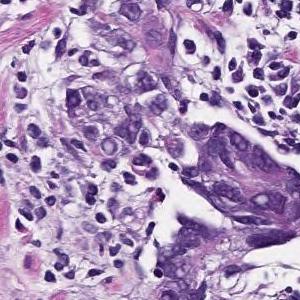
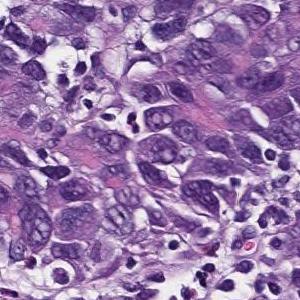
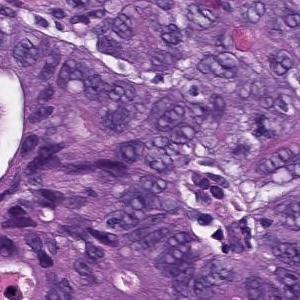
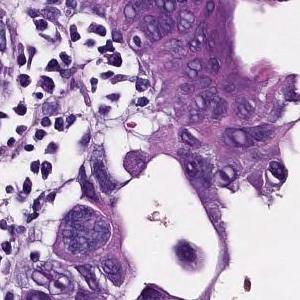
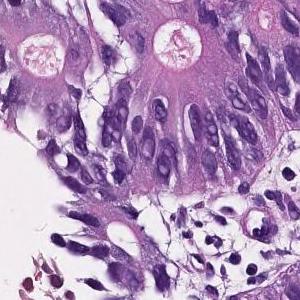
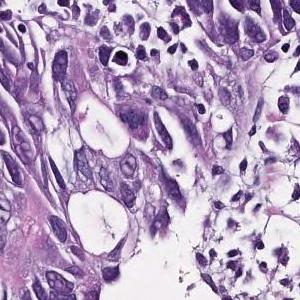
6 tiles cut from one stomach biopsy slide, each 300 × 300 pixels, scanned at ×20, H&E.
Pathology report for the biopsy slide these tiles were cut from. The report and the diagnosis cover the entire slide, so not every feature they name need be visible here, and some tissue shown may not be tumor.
In the superficial epithelium, tumor tissue that invades by forming medium-sized to small, irregular ducts is observed. moderately differentiated tubular adenocarcinoma.
